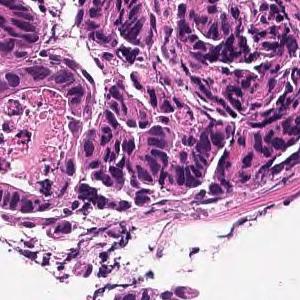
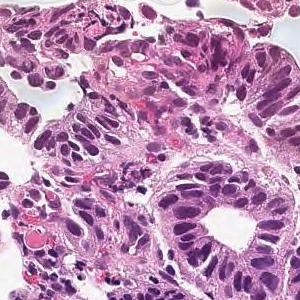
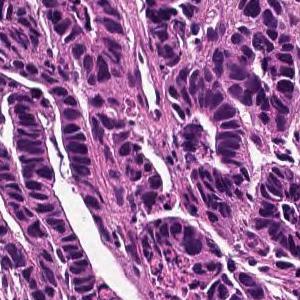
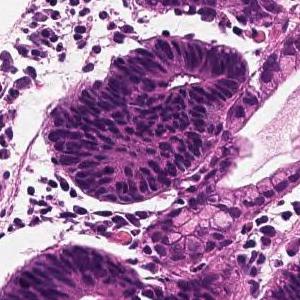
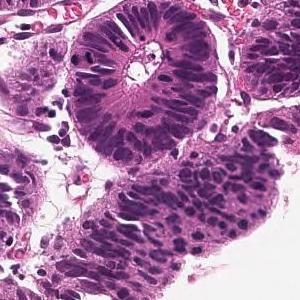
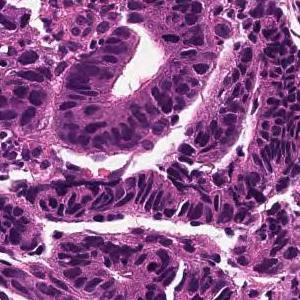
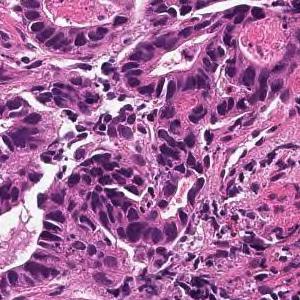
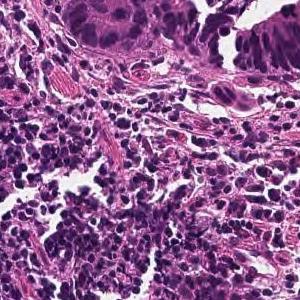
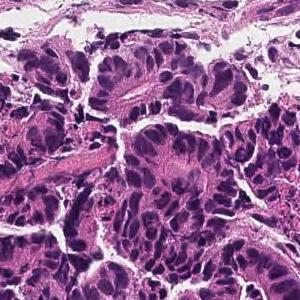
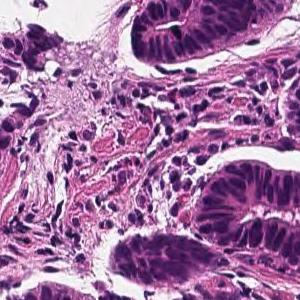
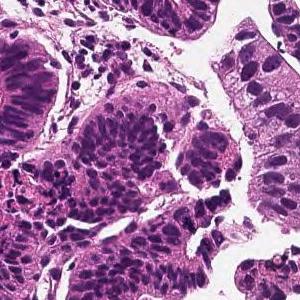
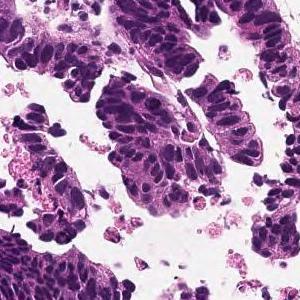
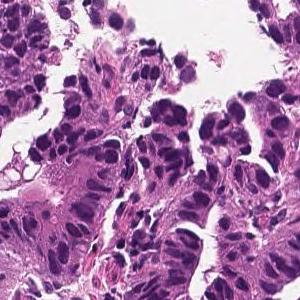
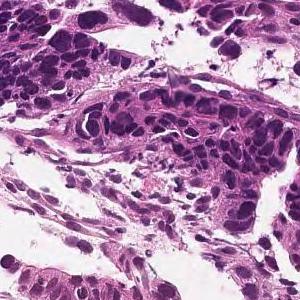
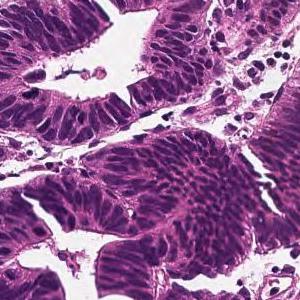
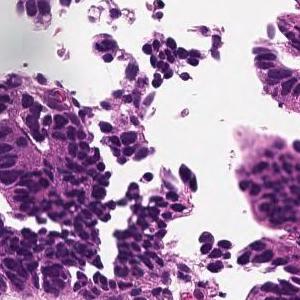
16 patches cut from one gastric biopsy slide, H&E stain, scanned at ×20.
Pathology report for the biopsy slide these tiles were cut from. The report describes the whole slide, diagnosis included: not every finding it names need appear in these tiles, which may also show non-tumor tissue.
From the superficial epithelium to the muscularis mucosae, tumor tissue consisting of medium-sized and irregular glandular ducts infiltrating is observed. Well differentiated tubular adenocarcinoma
